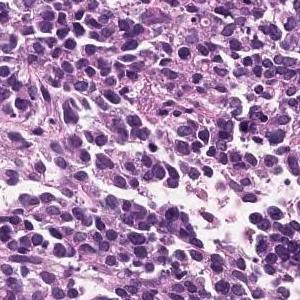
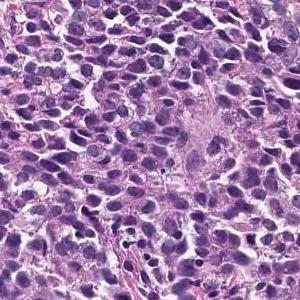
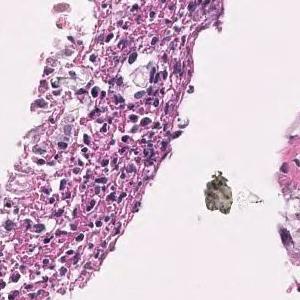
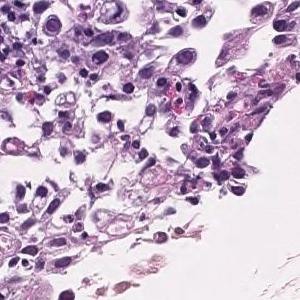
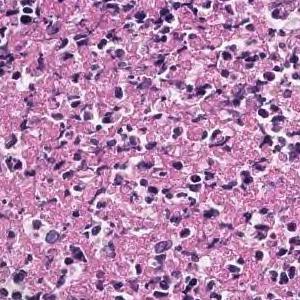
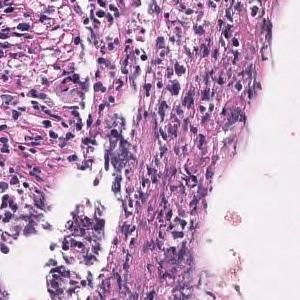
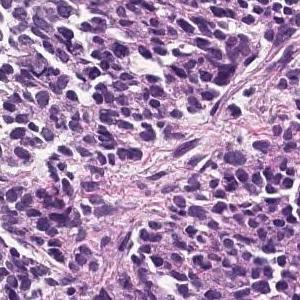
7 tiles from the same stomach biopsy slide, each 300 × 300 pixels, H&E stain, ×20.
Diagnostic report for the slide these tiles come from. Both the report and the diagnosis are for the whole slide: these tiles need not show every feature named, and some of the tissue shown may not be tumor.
The superficial epithelium shows a large sheet-like shape, and some tumor tissue infiltrates with small irregular ducts. Poorly differentiated adenocarcinoma, solid-type
Histological subtype: Poorly differentiated adenocarcinoma, solid type. This name comes from the Japanese Classification of Gastric Carcinoma; the WHO 2019 classification calls it tubular adenocarcinoma, poorly differentiated.
